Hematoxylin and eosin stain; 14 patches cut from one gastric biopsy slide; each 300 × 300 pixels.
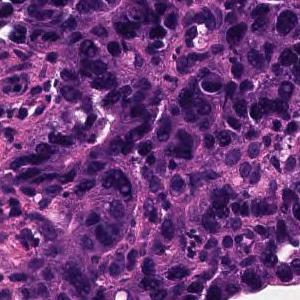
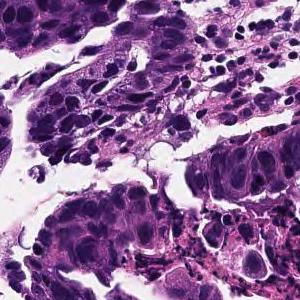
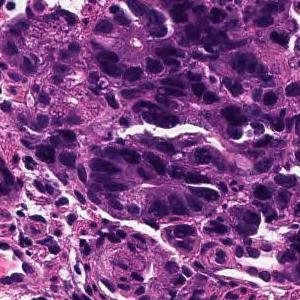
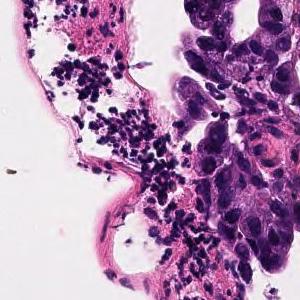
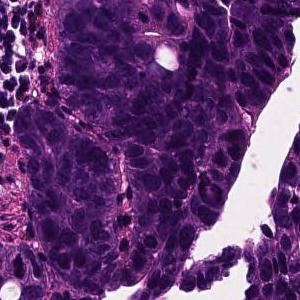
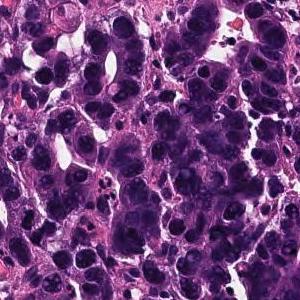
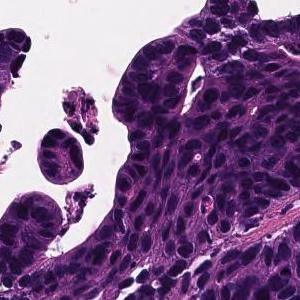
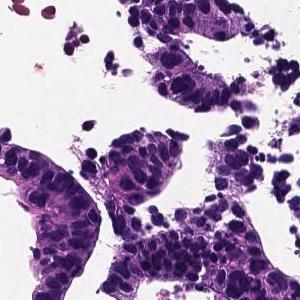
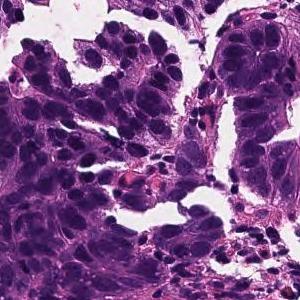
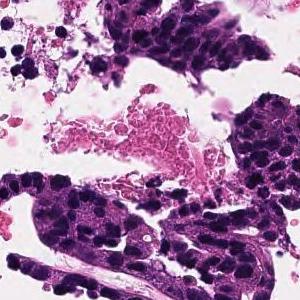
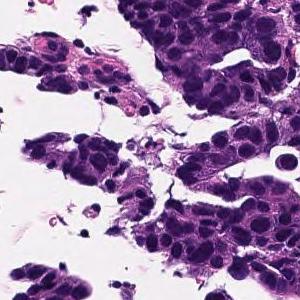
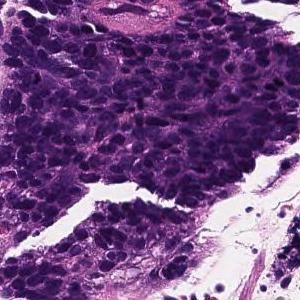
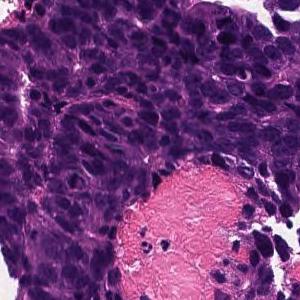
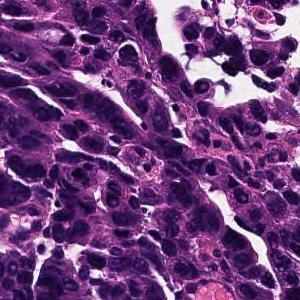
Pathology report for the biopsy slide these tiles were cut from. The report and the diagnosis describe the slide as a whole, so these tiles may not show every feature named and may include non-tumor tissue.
In the superficial epithelium, tumor tissue that invades by forming medium-sized to small, irregular ducts is observed. moderately differentiated tubular adenocarcinoma.
